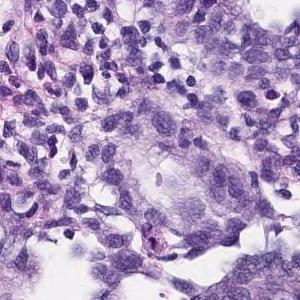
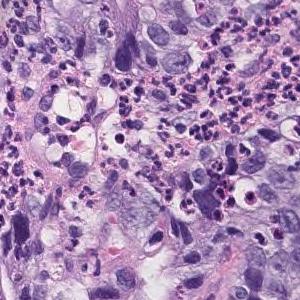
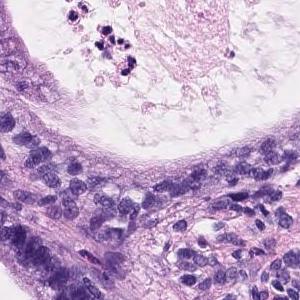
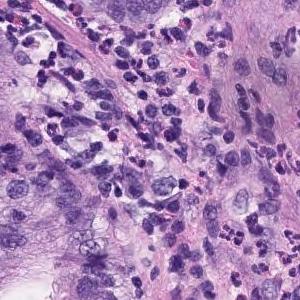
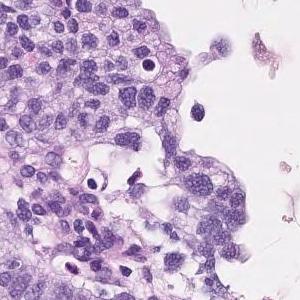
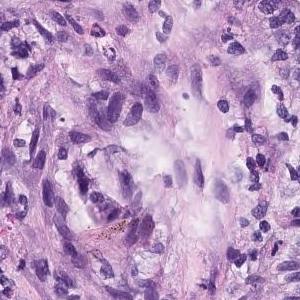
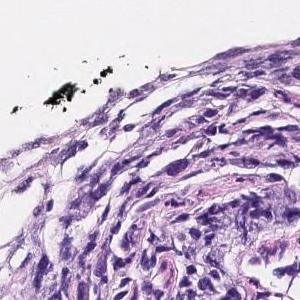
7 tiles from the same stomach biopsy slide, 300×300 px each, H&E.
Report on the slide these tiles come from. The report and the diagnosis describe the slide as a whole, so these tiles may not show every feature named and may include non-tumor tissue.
Tumor cells are large, highly columnar, large club-shaped nuclei, and are associated with chromatin aggregation. Papillary adenocarcinoma.
